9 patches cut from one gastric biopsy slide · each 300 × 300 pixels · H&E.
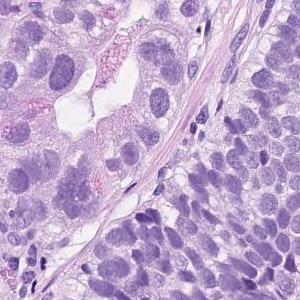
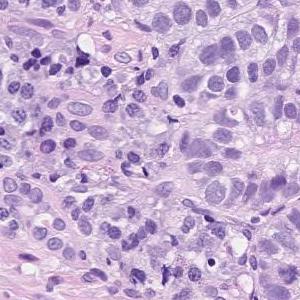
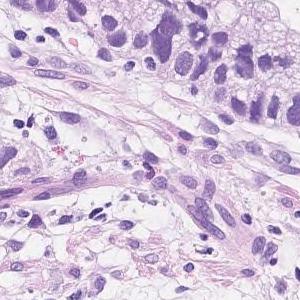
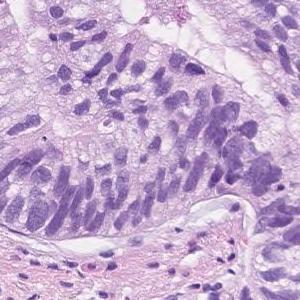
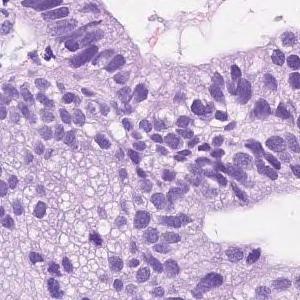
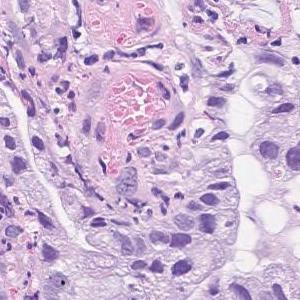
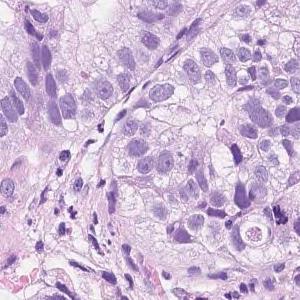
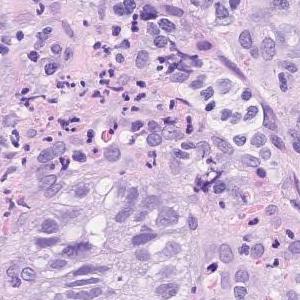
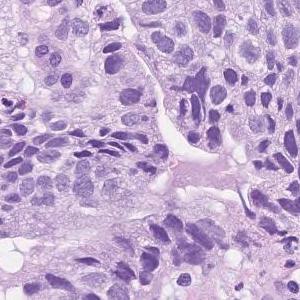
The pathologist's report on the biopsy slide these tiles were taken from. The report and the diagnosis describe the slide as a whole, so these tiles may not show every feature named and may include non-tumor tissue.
Atypical l cells with atypical nuclei forming solid or diffuse vesicles or small irregular atypical ducts and growing in a complex manner. moderately differentiated tubular adenocarcinoma
